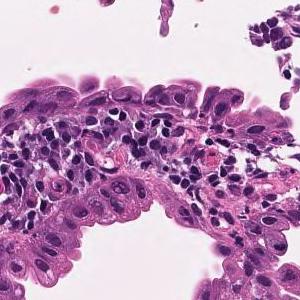
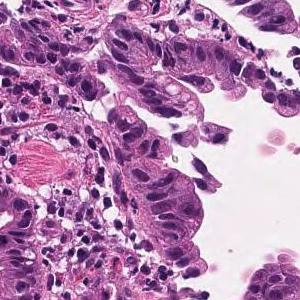
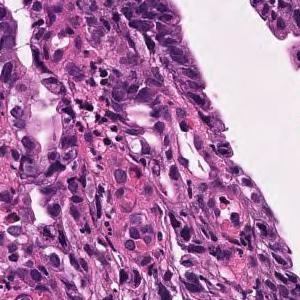
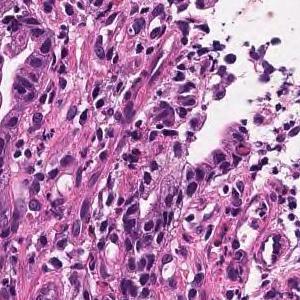
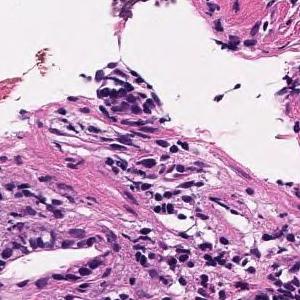
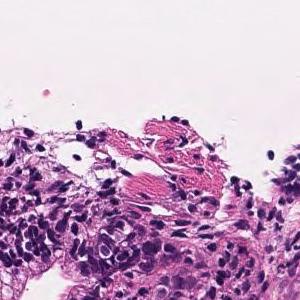
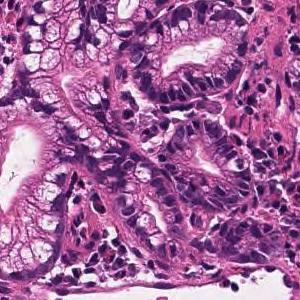
H&E stain; 20× magnification; 7 image tiles from a single gastric biopsy slide.
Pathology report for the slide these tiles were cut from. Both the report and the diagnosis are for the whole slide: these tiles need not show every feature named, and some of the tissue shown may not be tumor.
Tumor tissue in which medium to small irregular ducts infiltrate and proliferate in the submucosa can be seen in the epithelium. Well differentiated tubular adenocarcinoma
